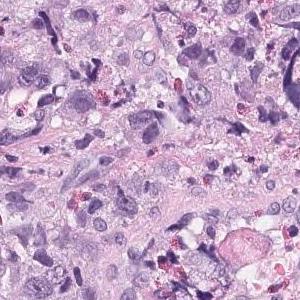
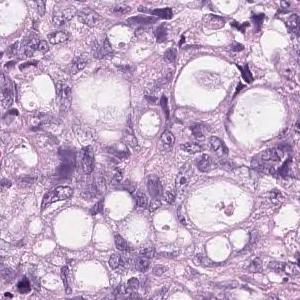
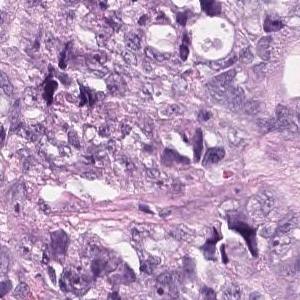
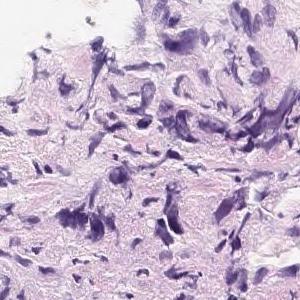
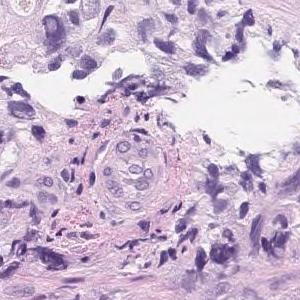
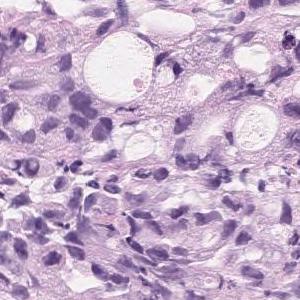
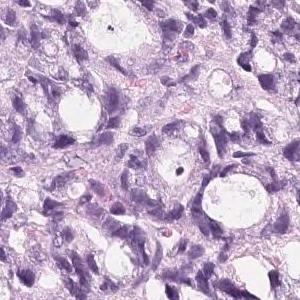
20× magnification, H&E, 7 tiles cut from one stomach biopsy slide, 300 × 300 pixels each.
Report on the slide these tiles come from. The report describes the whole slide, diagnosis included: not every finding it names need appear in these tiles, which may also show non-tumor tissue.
Tumor tissue that infiltrates and proliferates by forming small glandular cavities in the superficial layer to the submucosa or forming a mass is observed. moderately differentiated tubular adenocarcinoma
